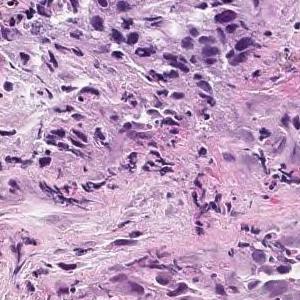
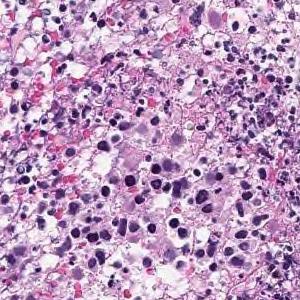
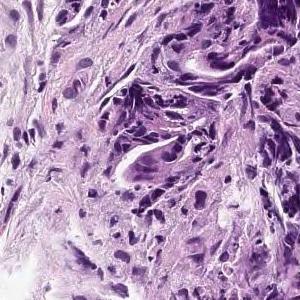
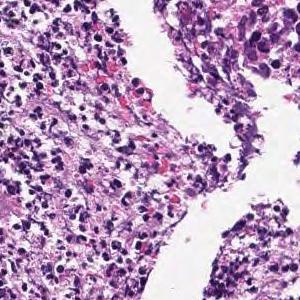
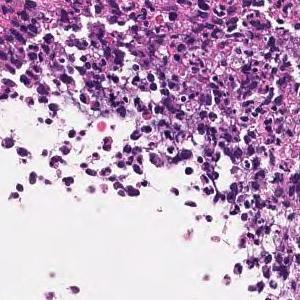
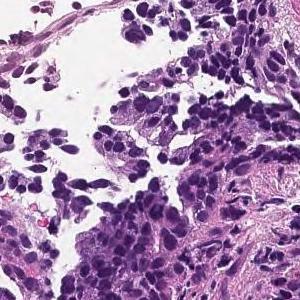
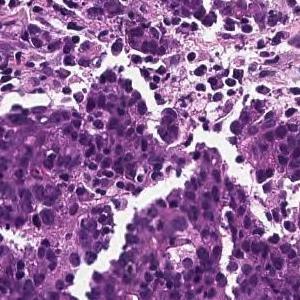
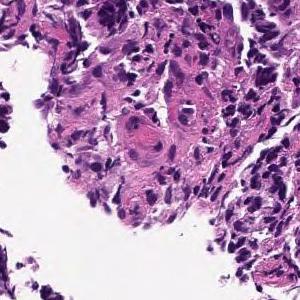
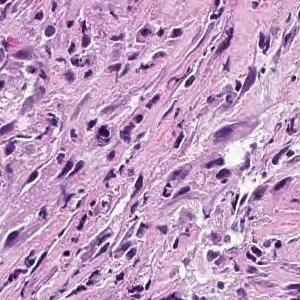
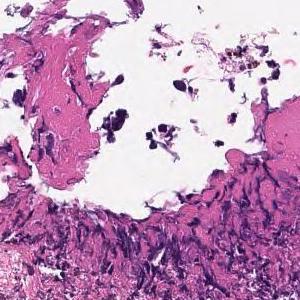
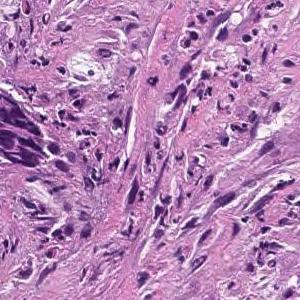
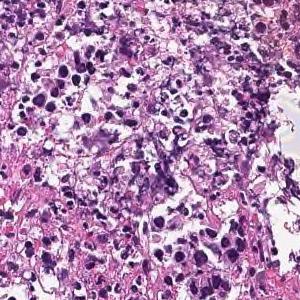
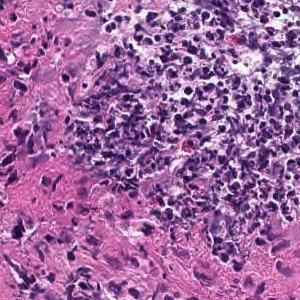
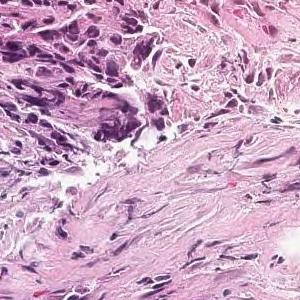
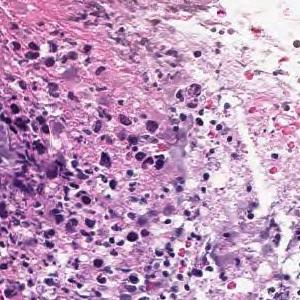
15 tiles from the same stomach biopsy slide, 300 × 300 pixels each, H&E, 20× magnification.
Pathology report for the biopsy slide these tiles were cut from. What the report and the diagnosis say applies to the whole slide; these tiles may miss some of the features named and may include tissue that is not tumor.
In the superficial epithelium, tumor tissue that invades by forming medium-sized to small, irregular ducts is observed. moderately differentiated tubular adenocarcinoma.
